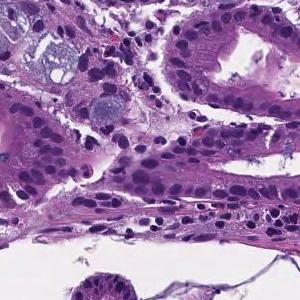
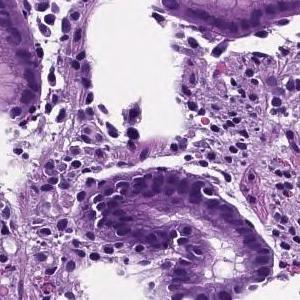
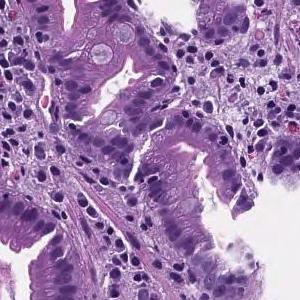
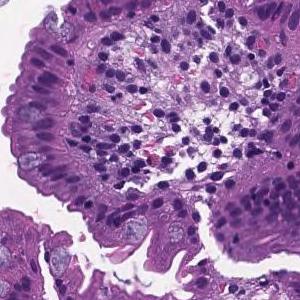
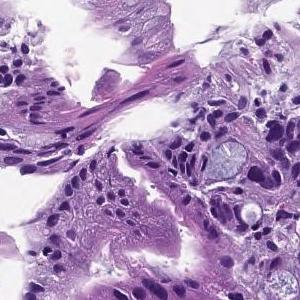
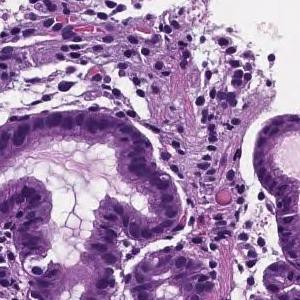
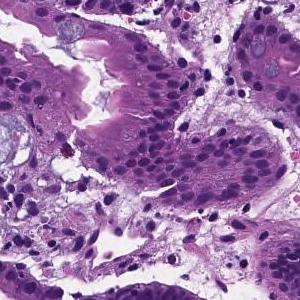
×20 · 7 patches cut from one gastric biopsy slide.
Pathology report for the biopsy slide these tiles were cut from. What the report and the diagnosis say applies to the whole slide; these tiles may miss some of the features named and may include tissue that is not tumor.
In the superficial epithelium, tumor tissue that invades by forming medium-sized to small, irregular ducts is observed. moderately differentiated tubular adenocarcinoma.
